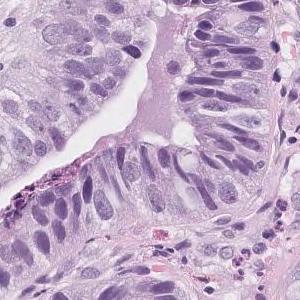
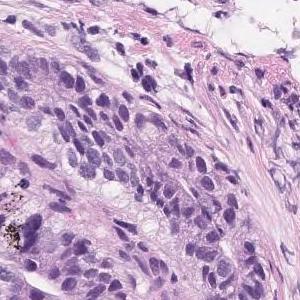
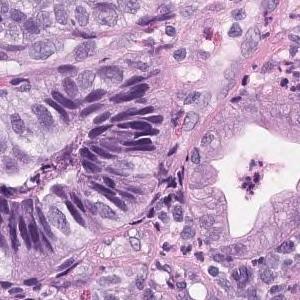
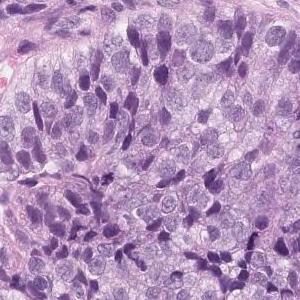
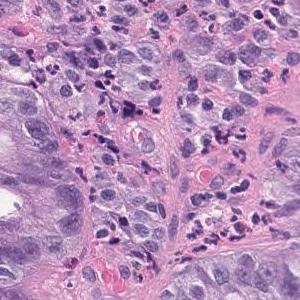
5 patches cut from one gastric biopsy slide · each 300 × 300 pixels · H&E.
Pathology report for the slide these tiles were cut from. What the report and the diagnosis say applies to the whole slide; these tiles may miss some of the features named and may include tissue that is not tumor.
Tumor tissue in which highly columnar atypical epithelial cells with nuclear enlargement and increased nuclear chromatin show papillary to papillary ductal structure and proliferate is observed. Papillary adenocarcinoma.
